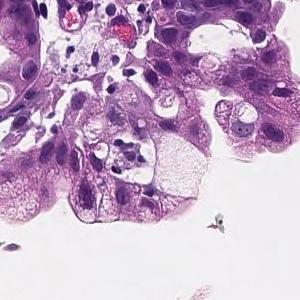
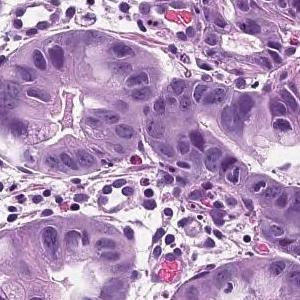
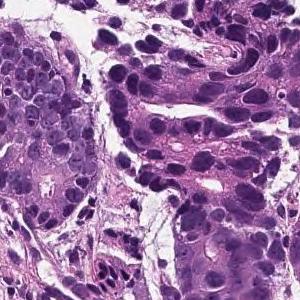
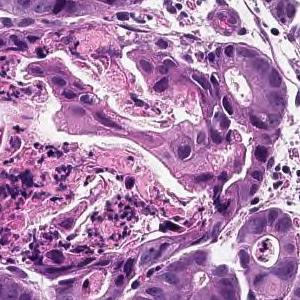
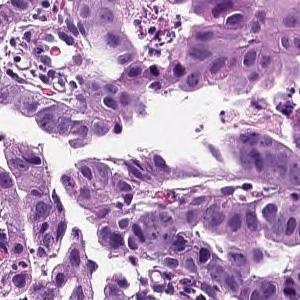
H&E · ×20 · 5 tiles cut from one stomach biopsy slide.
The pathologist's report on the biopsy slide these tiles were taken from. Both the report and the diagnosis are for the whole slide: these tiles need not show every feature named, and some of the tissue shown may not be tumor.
On the superficial epithelium, tumor tissue that infiltrates by forming medium-sized papillary or small irregular ducts is observed. Papillary adenocarcinoma
